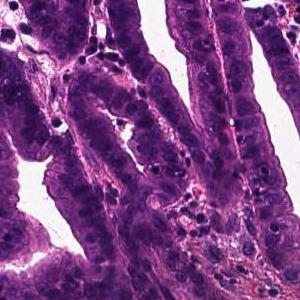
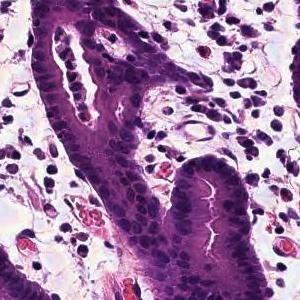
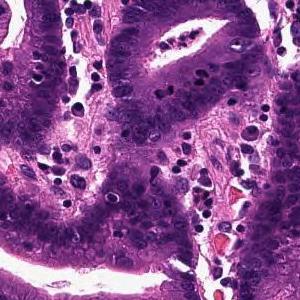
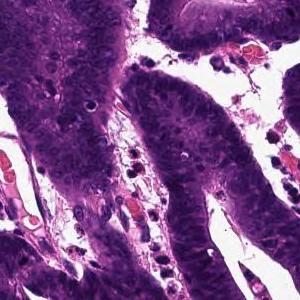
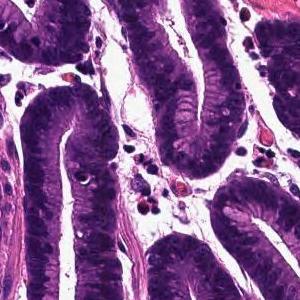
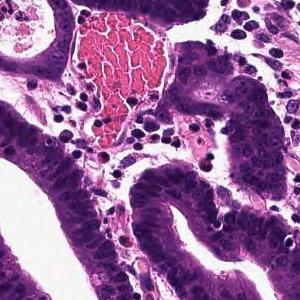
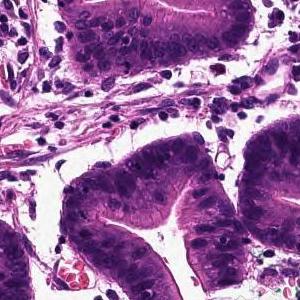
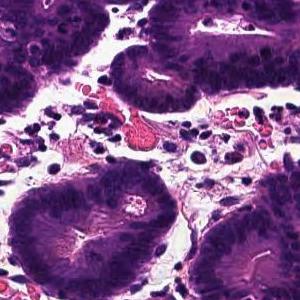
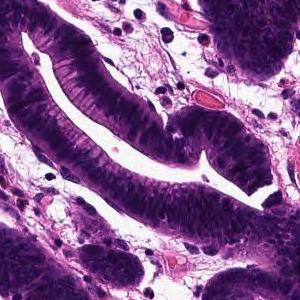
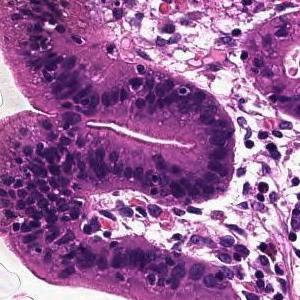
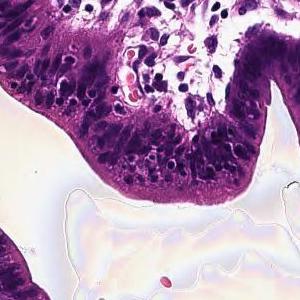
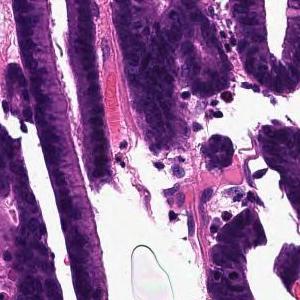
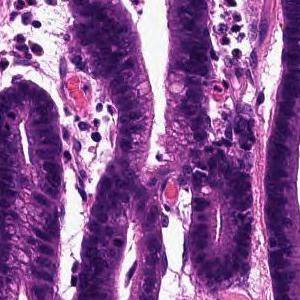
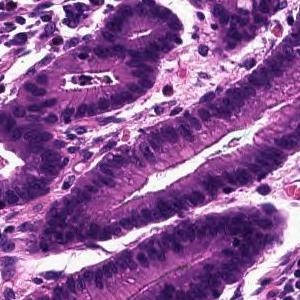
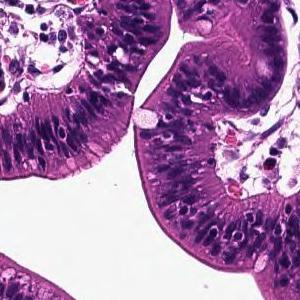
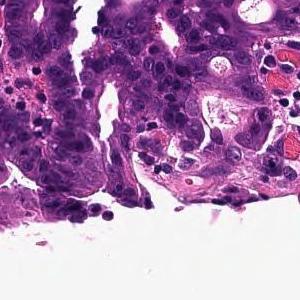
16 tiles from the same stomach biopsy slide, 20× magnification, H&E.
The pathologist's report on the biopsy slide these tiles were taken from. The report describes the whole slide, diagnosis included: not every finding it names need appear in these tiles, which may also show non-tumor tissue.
Tumor tissue that infiltrates by forming large papillary or large irregular glandular ducts is observed confined to the mucosa. Papillary adenocarcinoma
